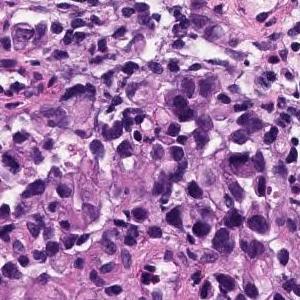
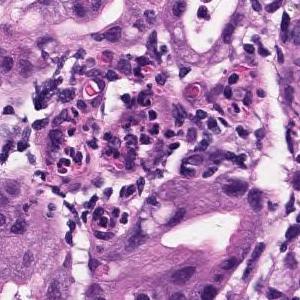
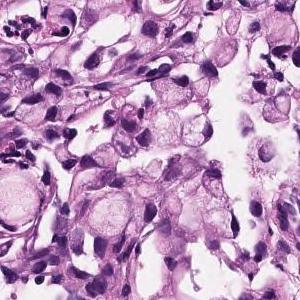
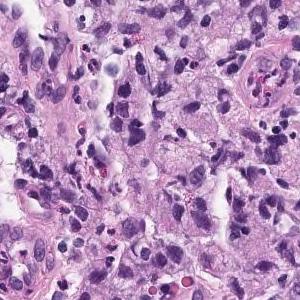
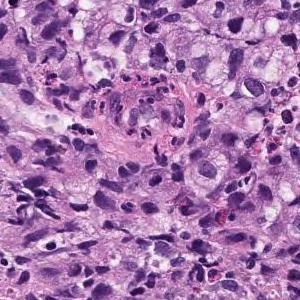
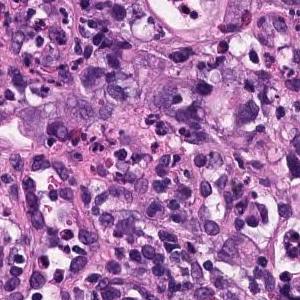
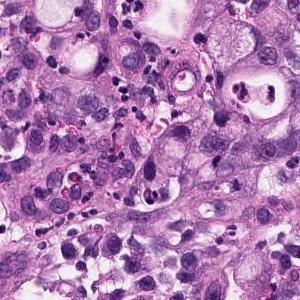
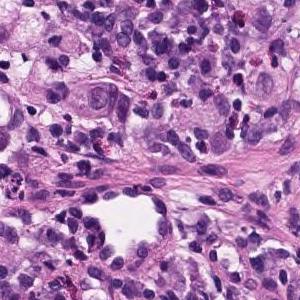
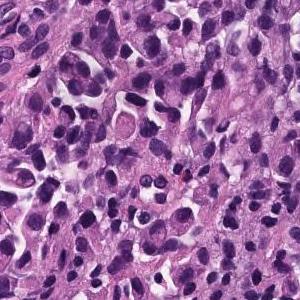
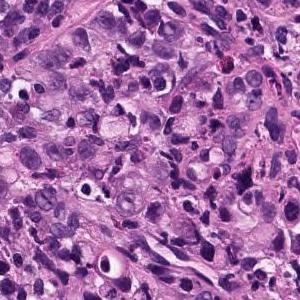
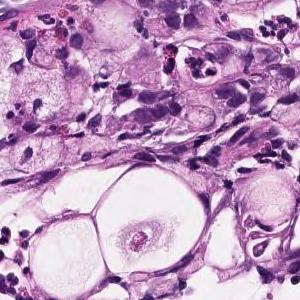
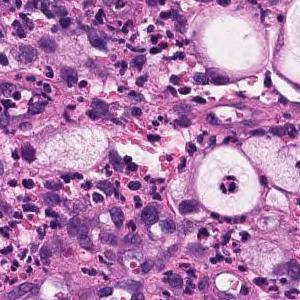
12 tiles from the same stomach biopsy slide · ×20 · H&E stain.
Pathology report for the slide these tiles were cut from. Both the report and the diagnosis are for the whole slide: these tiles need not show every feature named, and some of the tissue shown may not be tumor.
Atypical epithelium forms irregularly fused gland ducts and proliferates. Poorly differentiated adenocarcinoma.
Histologic type: Poorly differentiated adenocarcinoma, non-solid type.
The non-solid type named here is a Japanese Classification of Gastric Carcinoma category.
